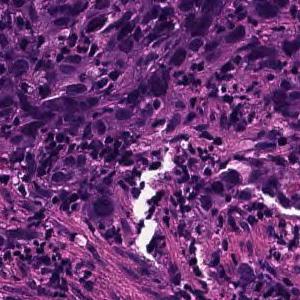
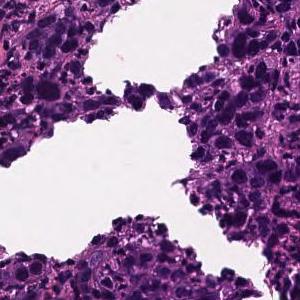
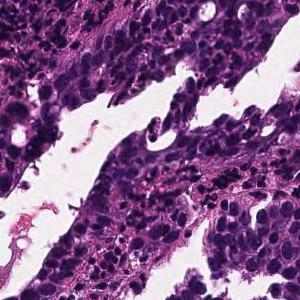
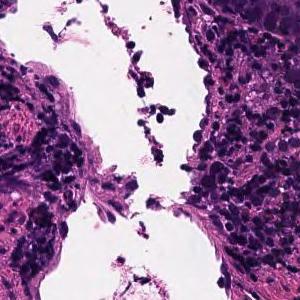
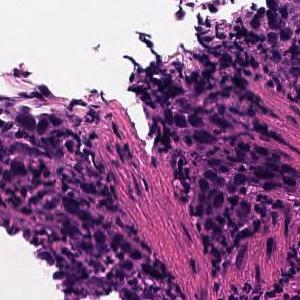
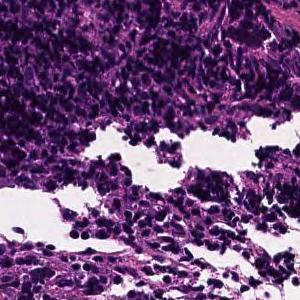
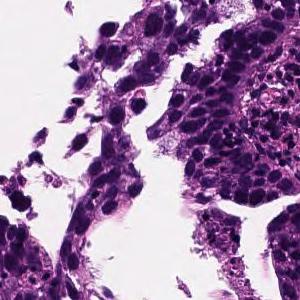
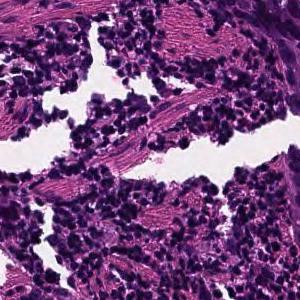
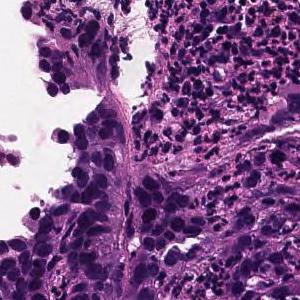
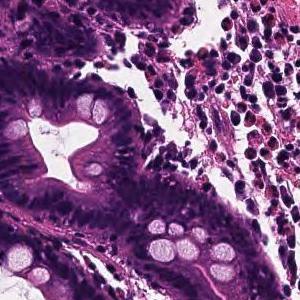
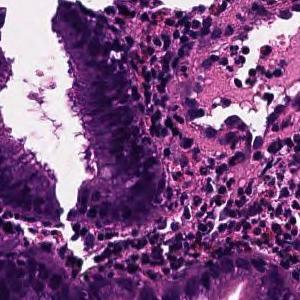
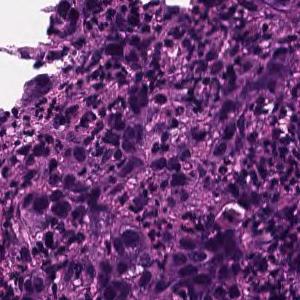
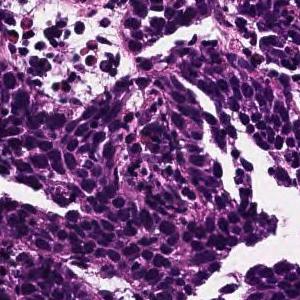
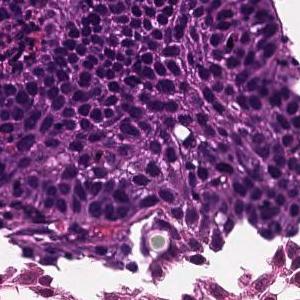
14 tiles cut from one stomach biopsy slide; ×20.
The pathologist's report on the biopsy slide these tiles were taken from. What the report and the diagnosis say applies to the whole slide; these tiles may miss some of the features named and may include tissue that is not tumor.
Tumor tissue consisting of cord-like or small, irregular glandular ducts fused and infiltrated is observed in the superficial epithelium. Poorly differentiated adenocarcinoma, non-solid type
The term "non-solid type" comes from the Japanese Classification of Gastric Carcinoma.
